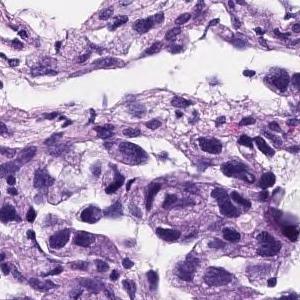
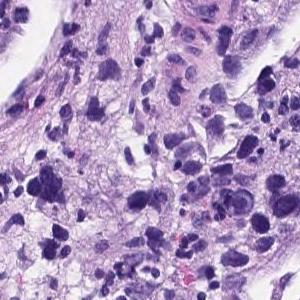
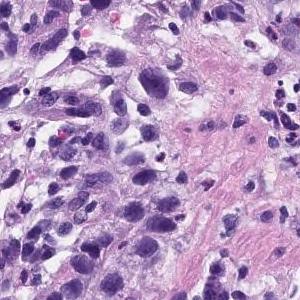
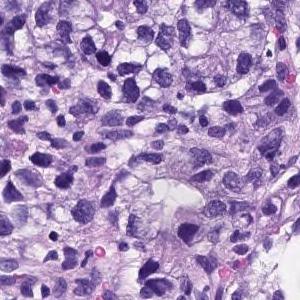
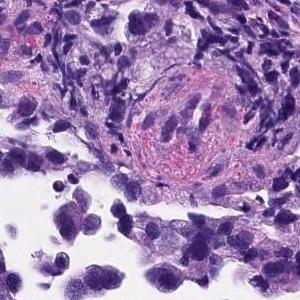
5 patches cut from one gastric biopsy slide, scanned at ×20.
Pathology report for the slide these tiles were cut from. The findings and the diagnosis refer to the entire slide; these tiles show only part of it, possibly with non-tumor tissue, and may not show every feature named.
Medium to small, irregular glandular ducts are formed in the superficial epithelium, and in some cases, the glandular ducts are fused to show solid alveolar lesions and infiltrating tumor tissue is observed. Poorly differentiated adenocarcinoma, Moderately differentiated adenocarcinoma.
The dataset labels this slide moderately differentiated tubular adenocarcinoma.
